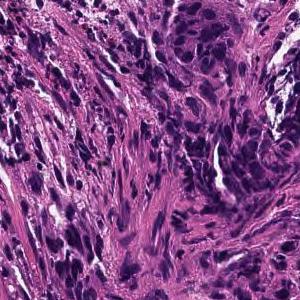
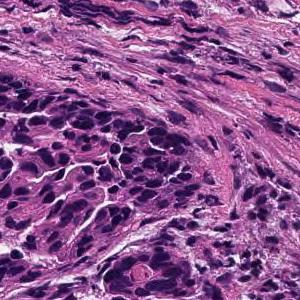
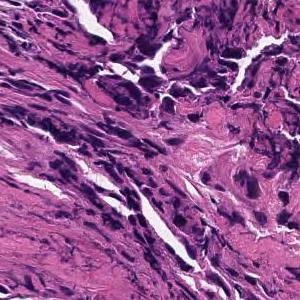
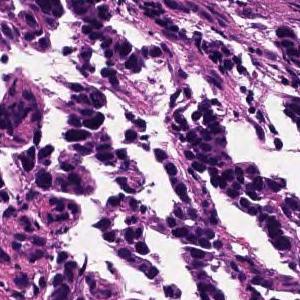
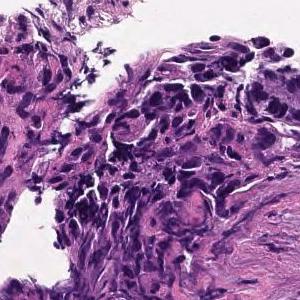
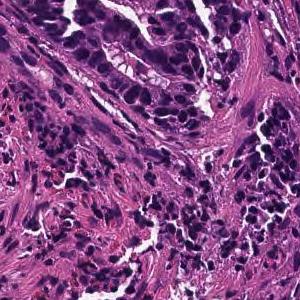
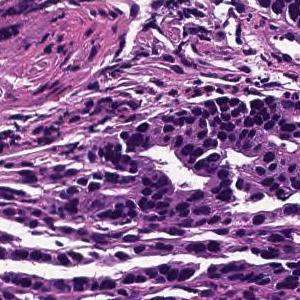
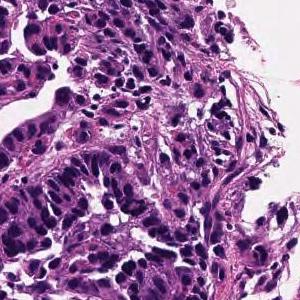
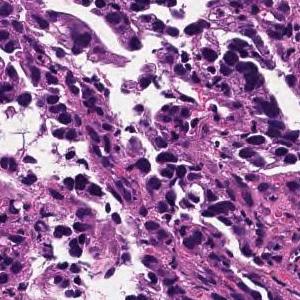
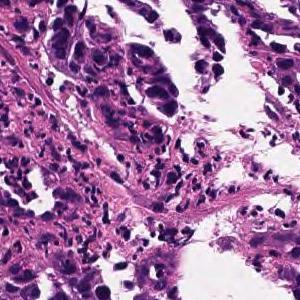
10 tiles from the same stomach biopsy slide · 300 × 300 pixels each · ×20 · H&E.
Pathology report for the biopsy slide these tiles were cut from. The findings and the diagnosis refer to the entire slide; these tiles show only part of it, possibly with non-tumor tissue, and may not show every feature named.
In the superficial epithelium, tumor tissue that invades by forming medium-sized to small, irregular ducts is observed. moderately differentiated tubular adenocarcinoma.
